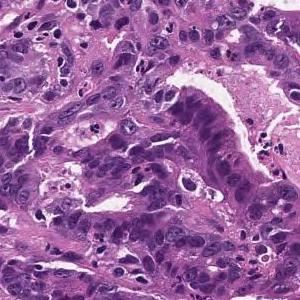
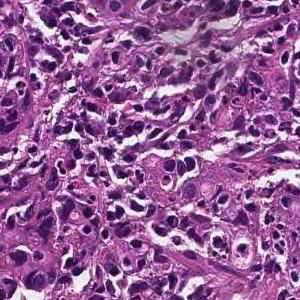
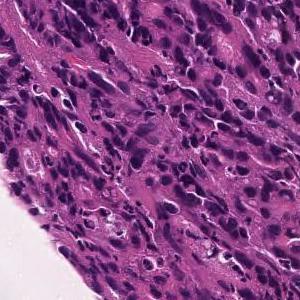
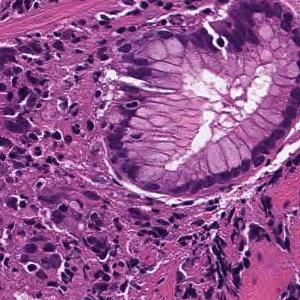
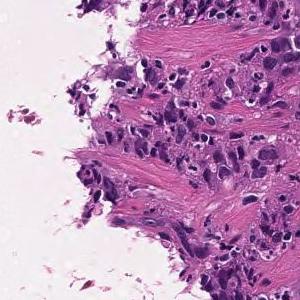
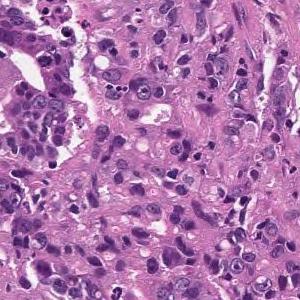
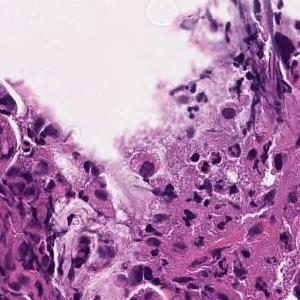
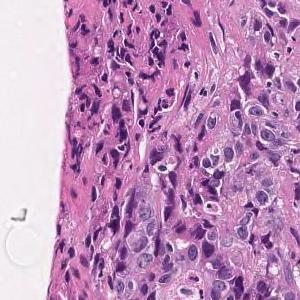
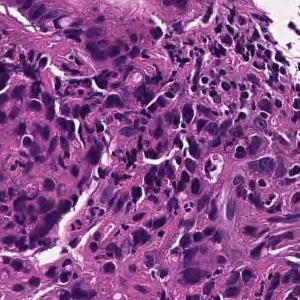
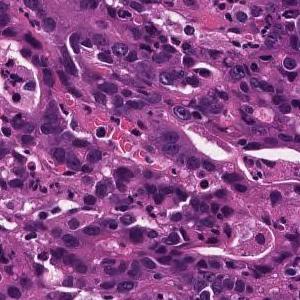
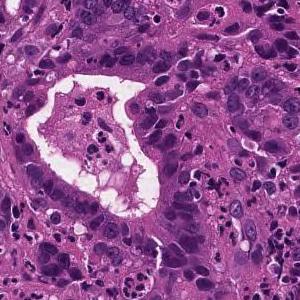
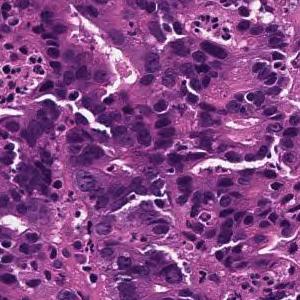
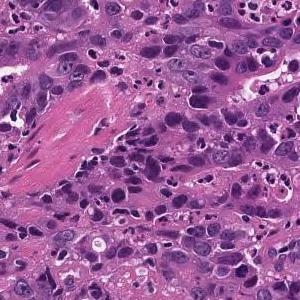
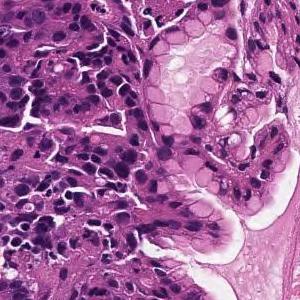
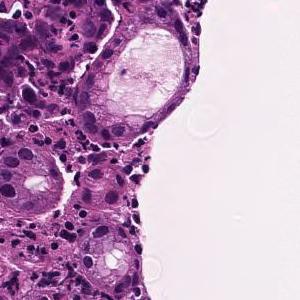
Scanned at ×20 · 15 tiles cut from one stomach biopsy slide · each 300 × 300 pixels.
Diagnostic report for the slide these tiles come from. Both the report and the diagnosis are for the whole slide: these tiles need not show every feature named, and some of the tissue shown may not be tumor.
In the superficial epithelium, tumor tissue that invades by forming medium-sized to small, irregular ducts is observed. moderately differentiated tubular adenocarcinoma.
